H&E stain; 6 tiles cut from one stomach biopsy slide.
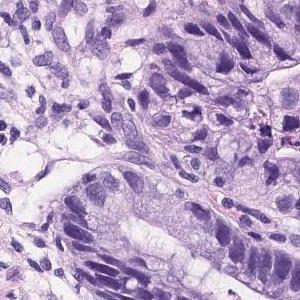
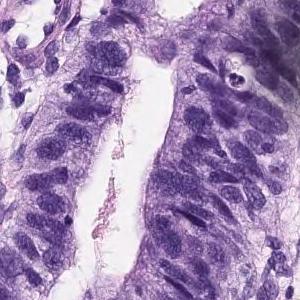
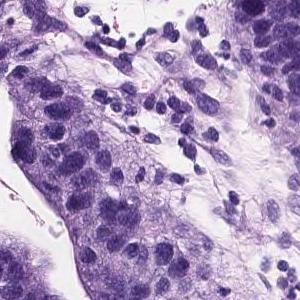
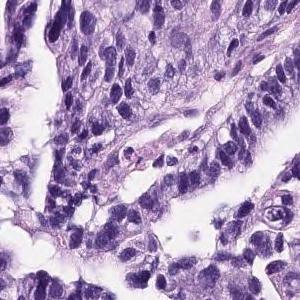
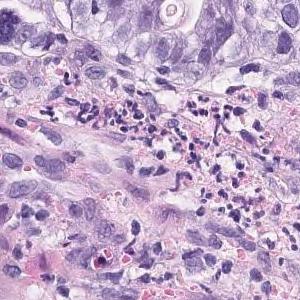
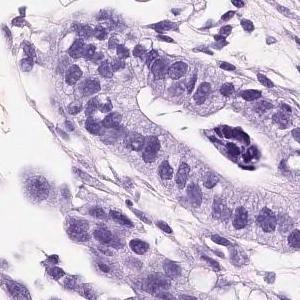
Diagnostic report for the slide these tiles come from. The findings and the diagnosis refer to the entire slide; these tiles show only part of it, possibly with non-tumor tissue, and may not show every feature named.
On the superficial epithelium, tumor tissue consisting of medium to small irregular tubules partially fused and proliferated is observed. moderately differentiated tubular adenocarcinoma
